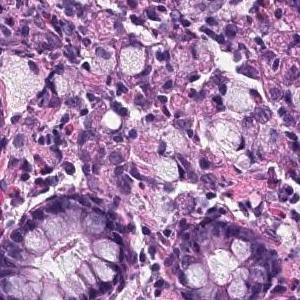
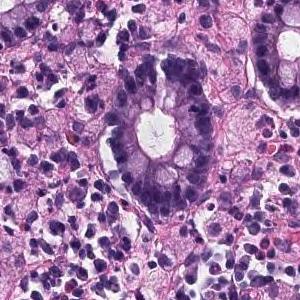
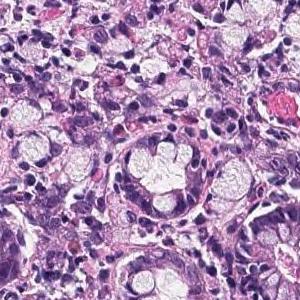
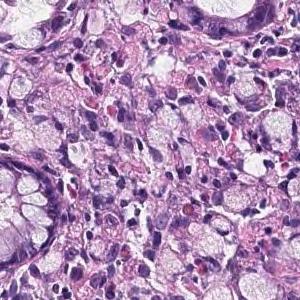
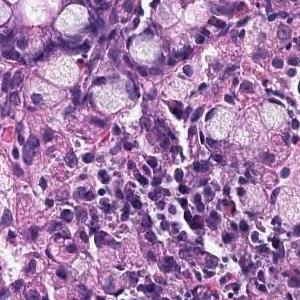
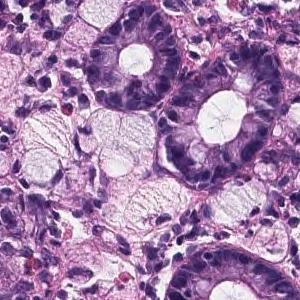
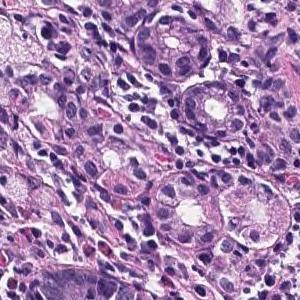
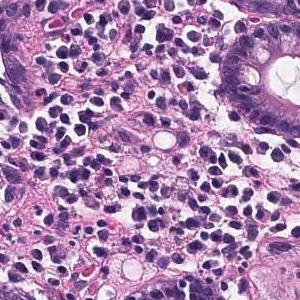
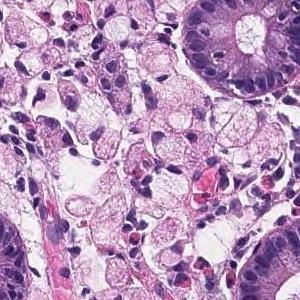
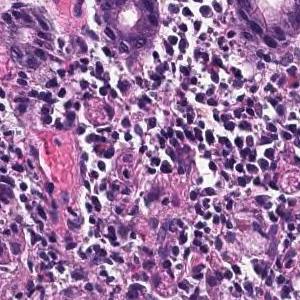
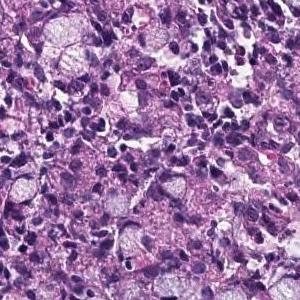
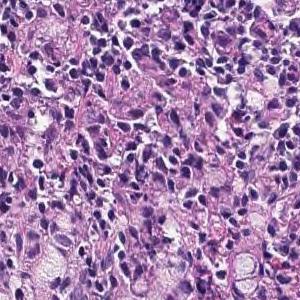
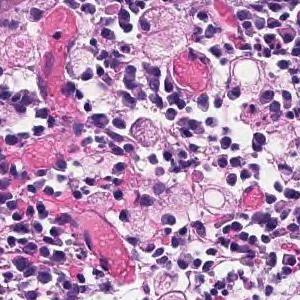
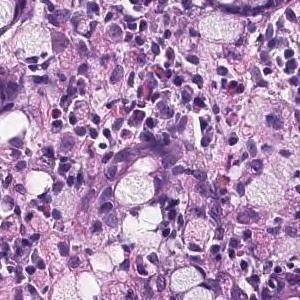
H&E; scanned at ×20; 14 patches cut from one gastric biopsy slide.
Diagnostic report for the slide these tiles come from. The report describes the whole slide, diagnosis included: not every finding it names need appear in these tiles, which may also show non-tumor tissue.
A tumor tissue consisting of signet ring cell carcinoma cells is observed in the lamina propria. Signet ring cell carcinoma.
